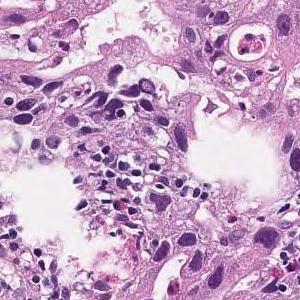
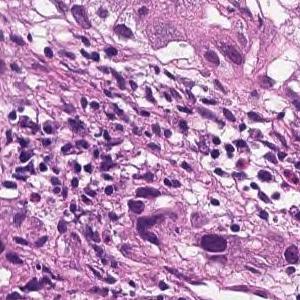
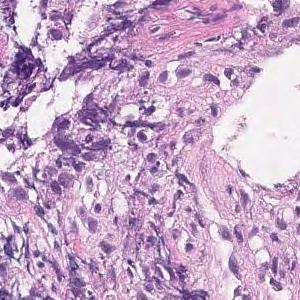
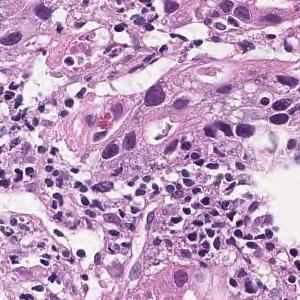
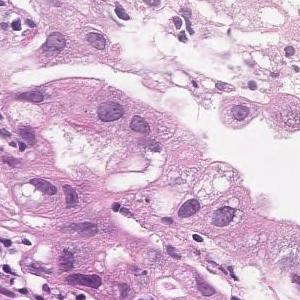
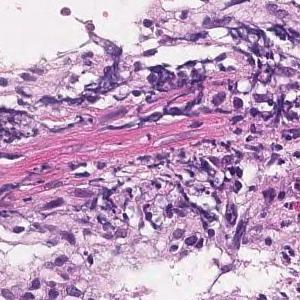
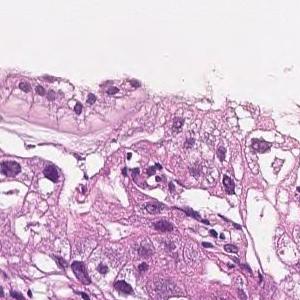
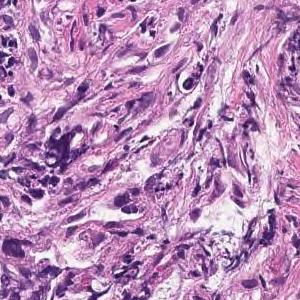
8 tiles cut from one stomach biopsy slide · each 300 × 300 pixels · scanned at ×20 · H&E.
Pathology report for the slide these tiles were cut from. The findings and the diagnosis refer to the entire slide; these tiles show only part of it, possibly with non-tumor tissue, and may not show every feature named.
In the superficial epithelium, tumor tissue that invades by forming medium-sized to small, irregular ducts is observed. moderately differentiated tubular adenocarcinoma.
